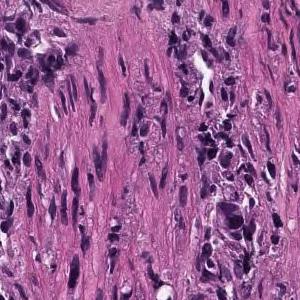
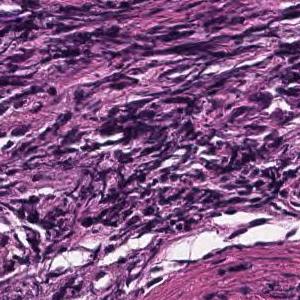
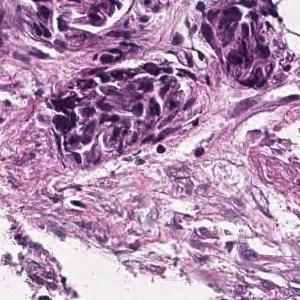
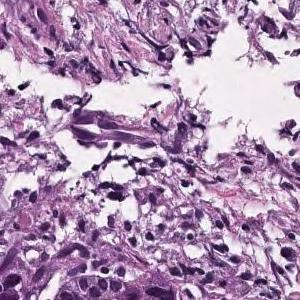
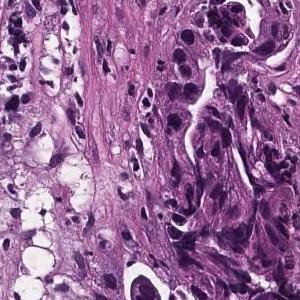
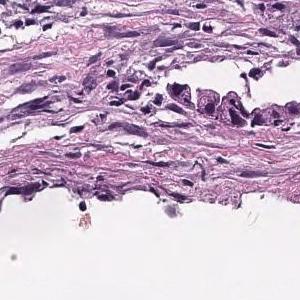
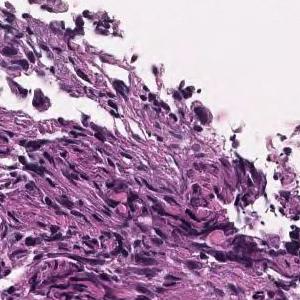
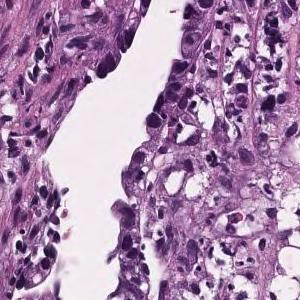
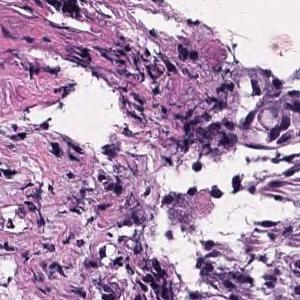
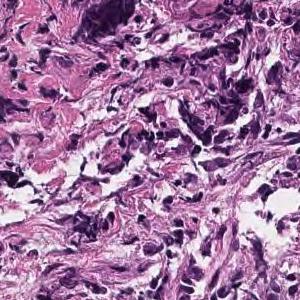
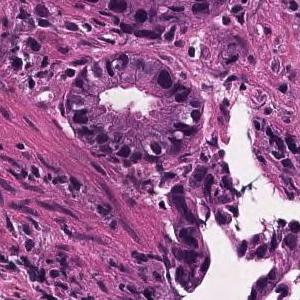
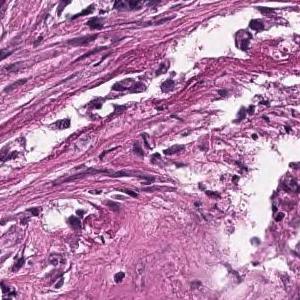
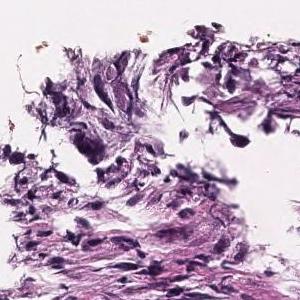
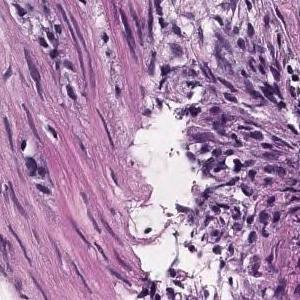
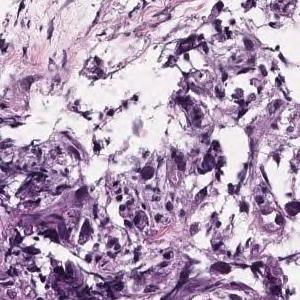
15 tiles cut from one stomach biopsy slide, H&E stain, ×20.
Report on the slide these tiles come from. The report describes the whole slide, diagnosis included: not every finding it names need appear in these tiles, which may also show non-tumor tissue.
In the superficial epithelium, tumor tissue that invades by forming medium-sized to small, irregular ducts is observed. moderately differentiated tubular adenocarcinoma.
